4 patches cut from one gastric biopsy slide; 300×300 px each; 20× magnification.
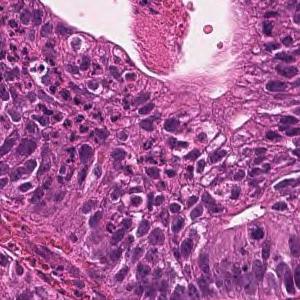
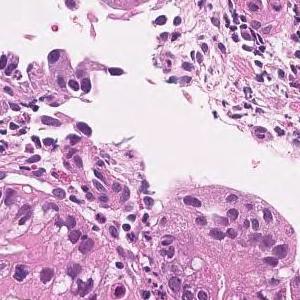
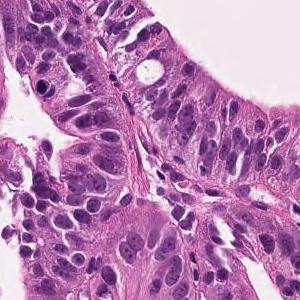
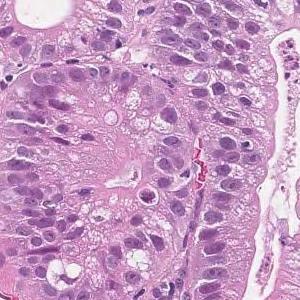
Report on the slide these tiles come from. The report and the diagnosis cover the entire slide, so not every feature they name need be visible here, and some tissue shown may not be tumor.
Tumor cells are large, highly columnar, large club-shaped nuclei, and are associated with chromatin aggregation. Papillary adenocarcinoma.
